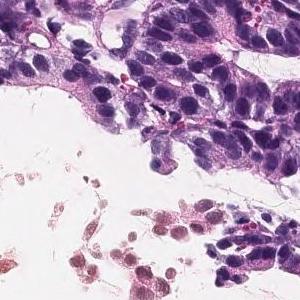
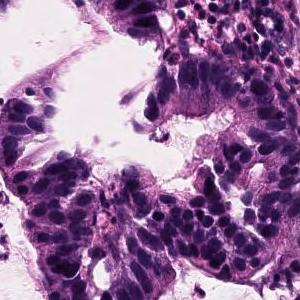
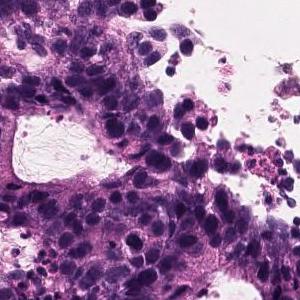
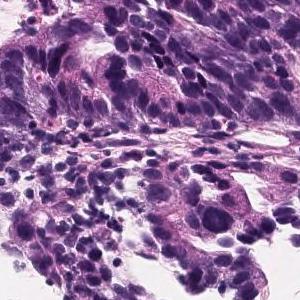
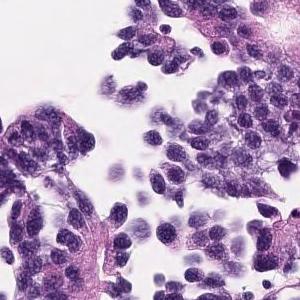
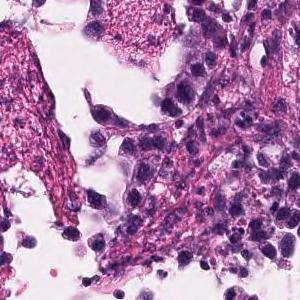
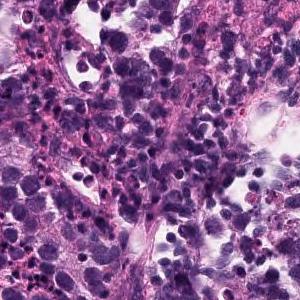
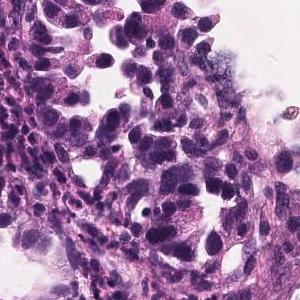
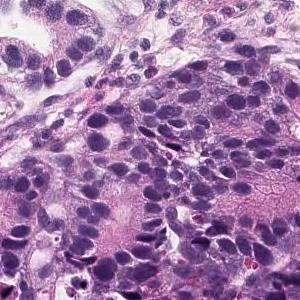
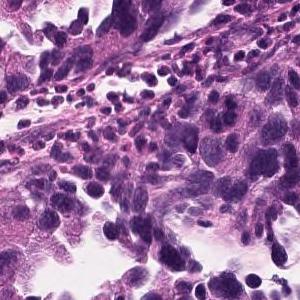
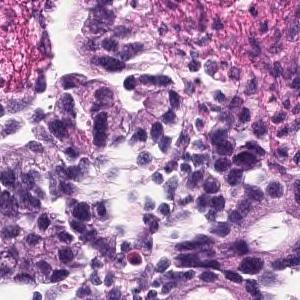
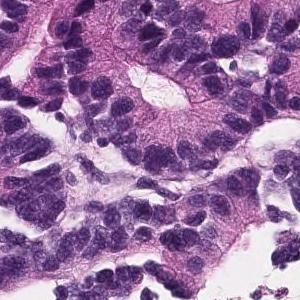
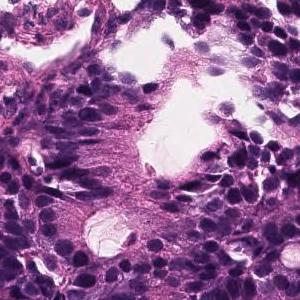
Hematoxylin and eosin stain, 13 patches cut from one gastric biopsy slide, each 300 × 300 pixels.
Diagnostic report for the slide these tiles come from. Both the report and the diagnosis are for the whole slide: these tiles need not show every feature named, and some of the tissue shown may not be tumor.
In the superficial epithelium, tumor tissue that invades by forming medium-sized to small, irregular ducts is observed. moderately differentiated tubular adenocarcinoma.
